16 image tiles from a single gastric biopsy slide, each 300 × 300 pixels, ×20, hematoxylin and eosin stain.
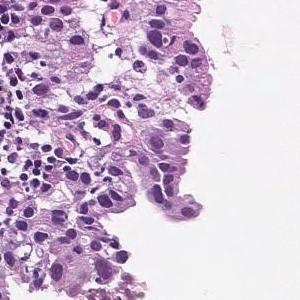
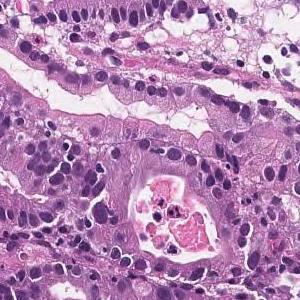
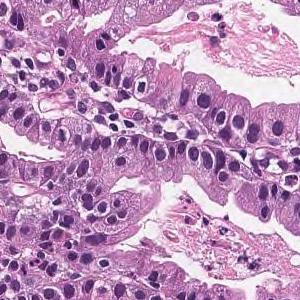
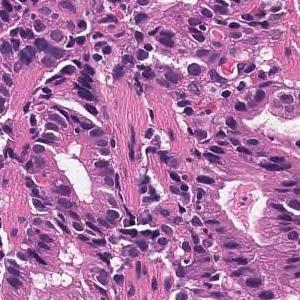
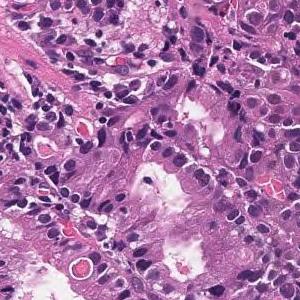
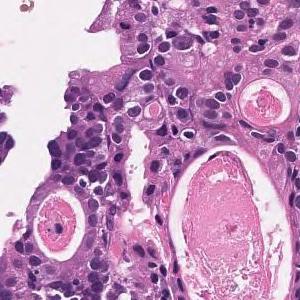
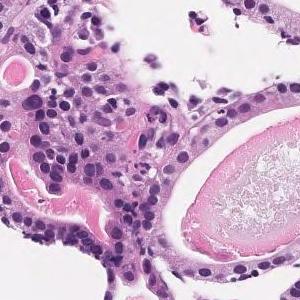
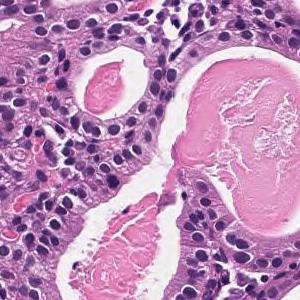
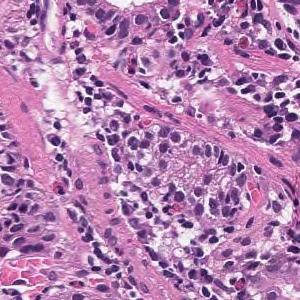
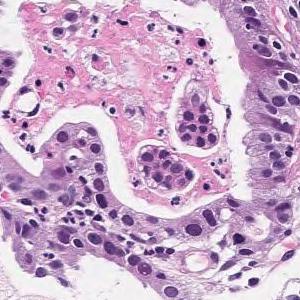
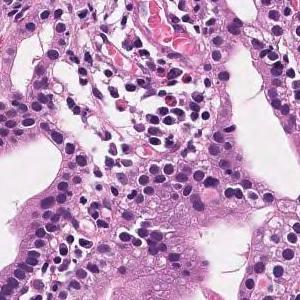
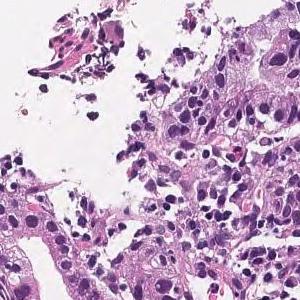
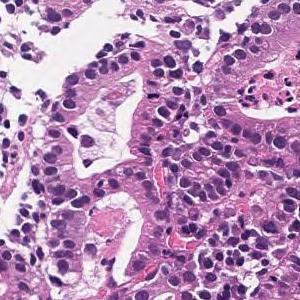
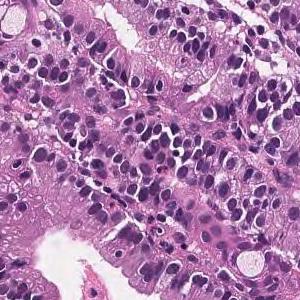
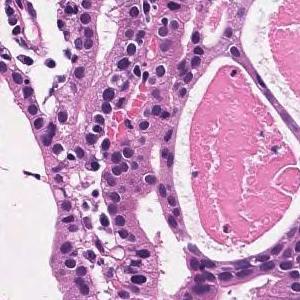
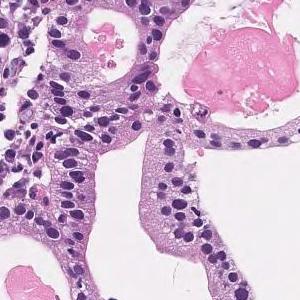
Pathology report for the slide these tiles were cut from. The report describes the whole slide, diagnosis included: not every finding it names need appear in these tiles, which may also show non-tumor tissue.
Medium to small, irregular glandular ducts are formed in the superficial epithelium, and in some cases, the glandular ducts are fused to show solid alveolar lesions and infiltrating tumor tissue is observed. Moderately to poorly differentiated adenocarcinoma.
